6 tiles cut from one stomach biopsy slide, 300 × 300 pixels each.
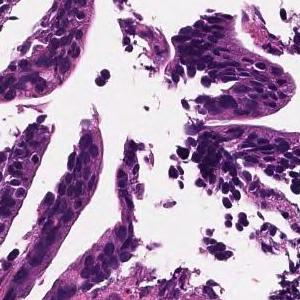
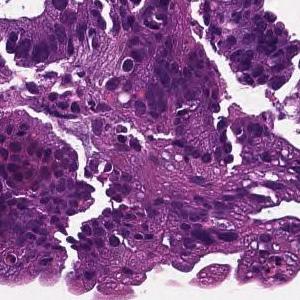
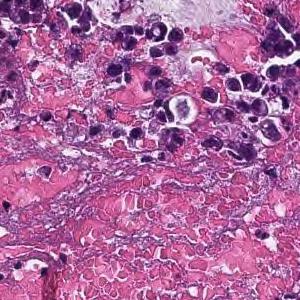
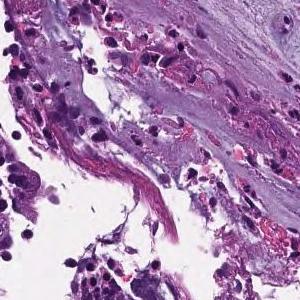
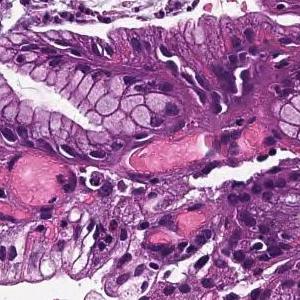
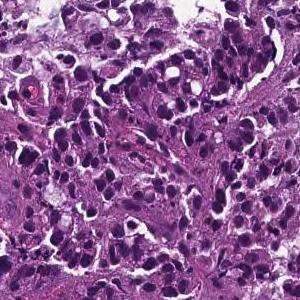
The pathologist's report on the biopsy slide these tiles were taken from. The report and the diagnosis describe the slide as a whole, so these tiles may not show every feature named and may include non-tumor tissue.
On the superficial epithelium, tumor tissue consisting of large irregular glandular ducts partially fused and infiltrated is observed. Well to moderately differentiated tubular adenocarcinoma (well differentiated tubular adenocarcinoma, moderately differentiated tubular adenocarcinoma)
Subtype: Well to moderately differentiated tubular adenocarcinoma.
